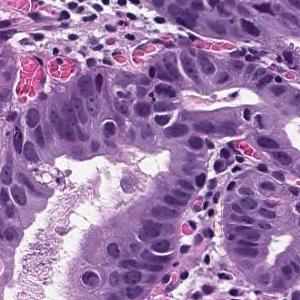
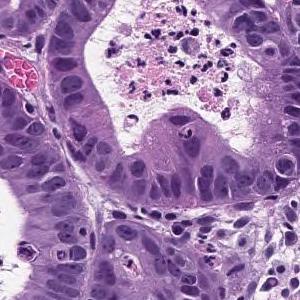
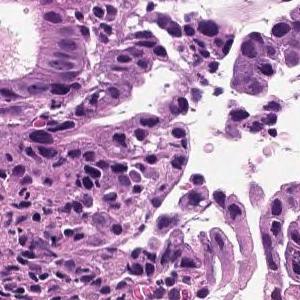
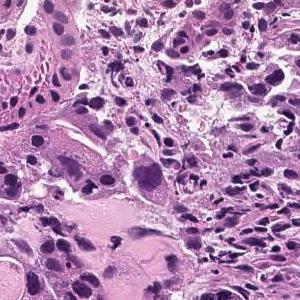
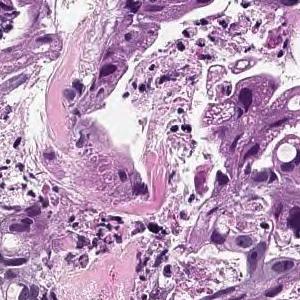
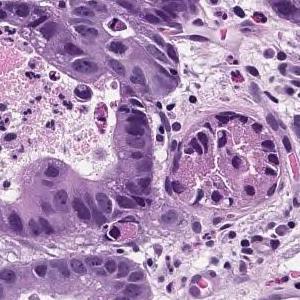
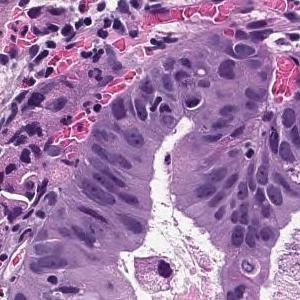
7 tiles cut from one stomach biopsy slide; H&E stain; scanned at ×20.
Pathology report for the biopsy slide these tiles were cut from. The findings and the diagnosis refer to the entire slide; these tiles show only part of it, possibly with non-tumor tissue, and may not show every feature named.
Tumor cells are large, highly columnar, large club-shaped nuclei, and are associated with chromatin aggregation. Papillary adenocarcinoma.
